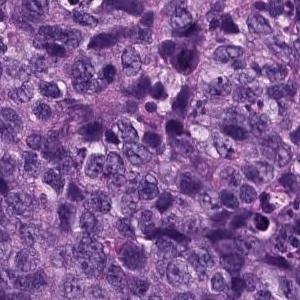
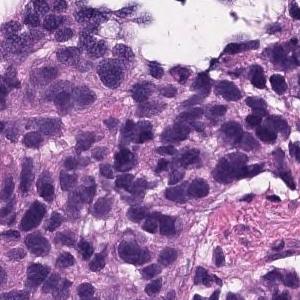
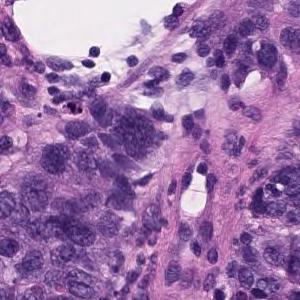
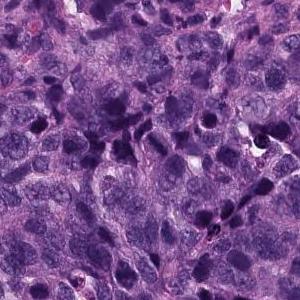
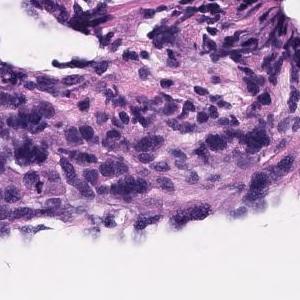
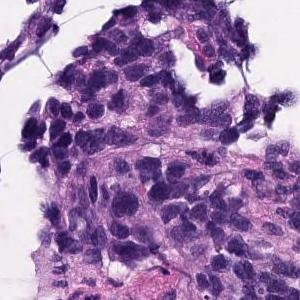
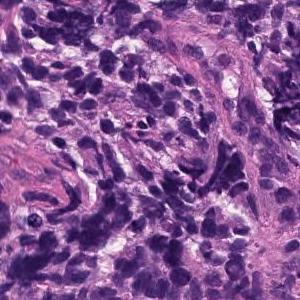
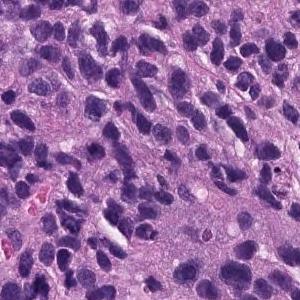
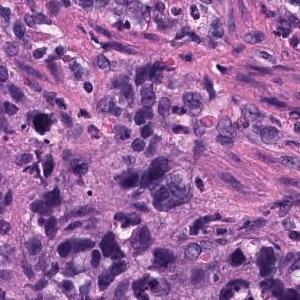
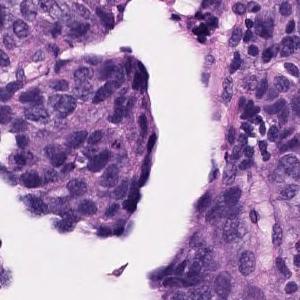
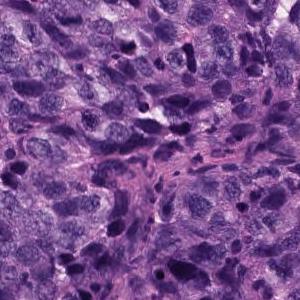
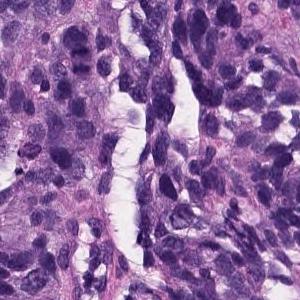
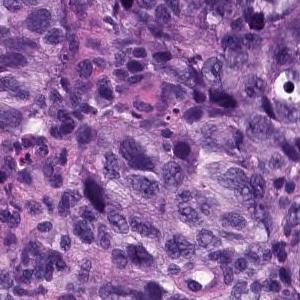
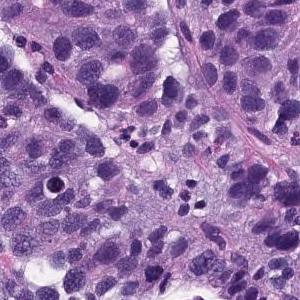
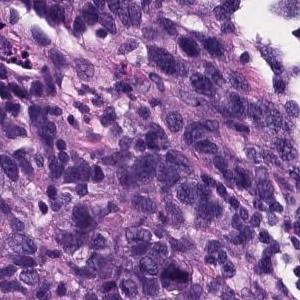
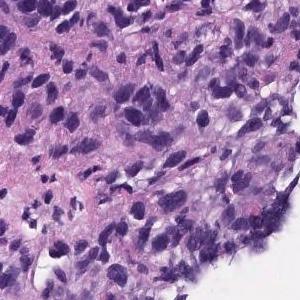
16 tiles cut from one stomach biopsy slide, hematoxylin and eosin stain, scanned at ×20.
The pathologist's report on the biopsy slide these tiles were taken from. The report and the diagnosis cover the entire slide, so not every feature they name need be visible here, and some tissue shown may not be tumor.
Atypical l cells with atypical nuclei under the mucosa growing in isolation and scattered. Poorly differentiated adenocarcinoma (poorly differentiated adenocarcinoma, non-solid type)
Tumor subtype: poorly differentiated adenocarcinoma, non-solid type.
The term "non-solid type" comes from the Japanese Classification of Gastric Carcinoma.
